11 tiles from the same stomach biopsy slide; 300×300 px each; scanned at ×20; H&E stain.
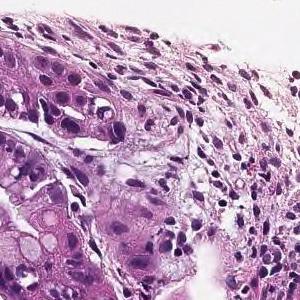
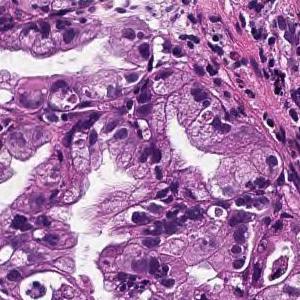
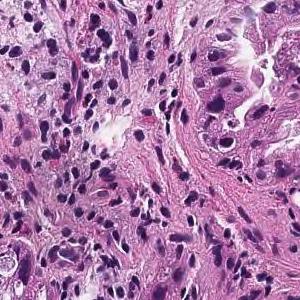
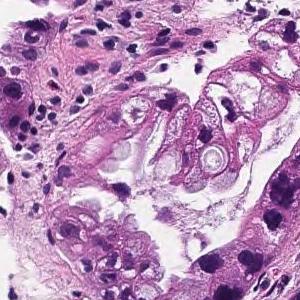
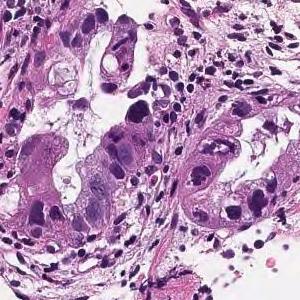
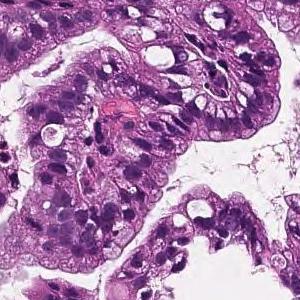
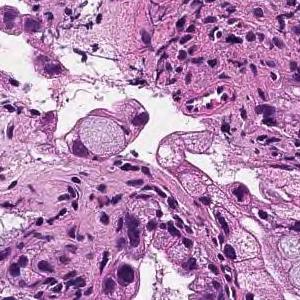
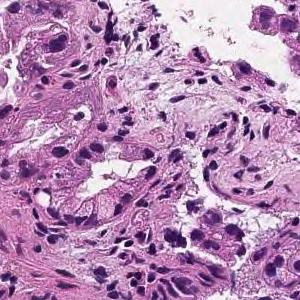
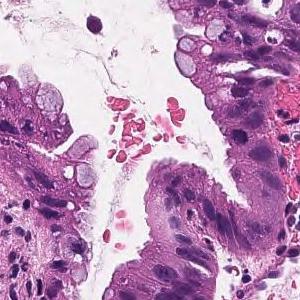
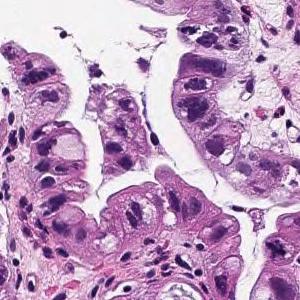
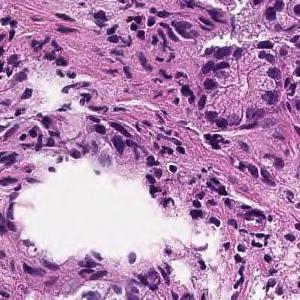
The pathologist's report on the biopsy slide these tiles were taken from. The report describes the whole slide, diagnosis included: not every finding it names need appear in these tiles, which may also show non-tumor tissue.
From the superficial epithelium to the muscularis mucosae, tumor tissue consisting of medium-sized and irregular glandular ducts infiltrating is observed. Well differentiated tubular adenocarcinoma
